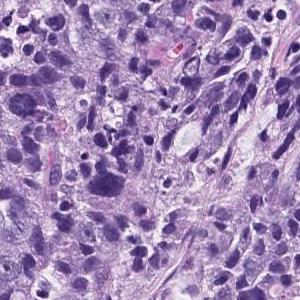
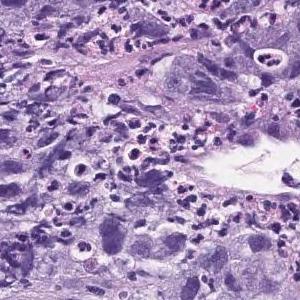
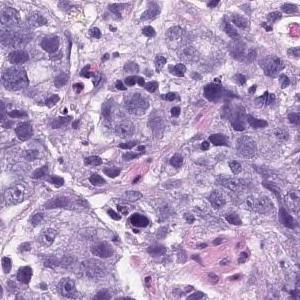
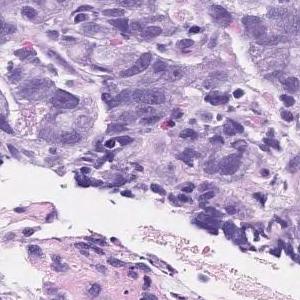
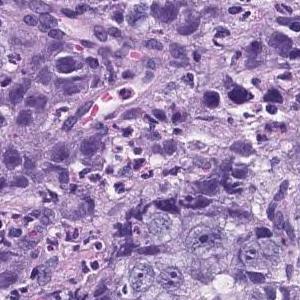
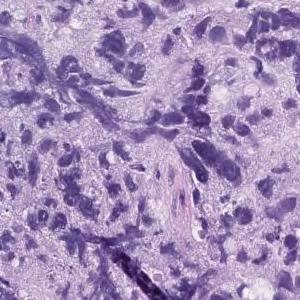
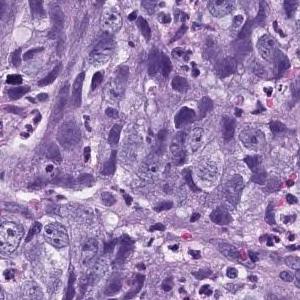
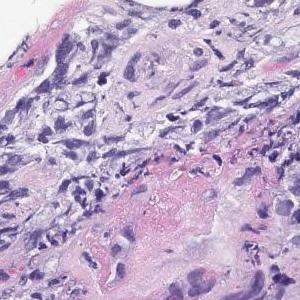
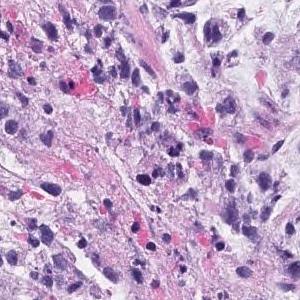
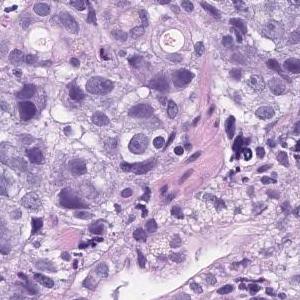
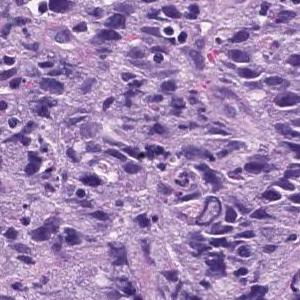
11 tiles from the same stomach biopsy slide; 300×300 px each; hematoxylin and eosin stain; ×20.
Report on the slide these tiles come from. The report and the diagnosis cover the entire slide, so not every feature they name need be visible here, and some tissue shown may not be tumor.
Atypical l cells with atypical nuclei forming solid vesicles or small irregular atypical ducts that proliferate in a complex manner. poorly differentiated adenocarcinoma, solid type, moderately differentiated tubular adenocarcinoma
The term "solid type" comes from the Japanese Classification of Gastric Carcinoma; the WHO 2019 equivalent is tubular adenocarcinoma, poorly differentiated.
